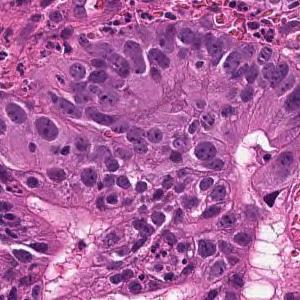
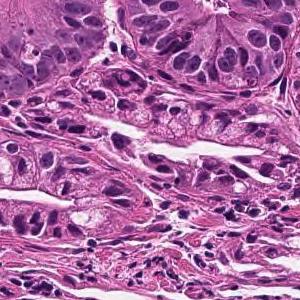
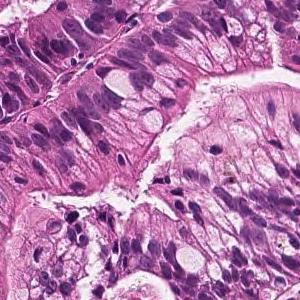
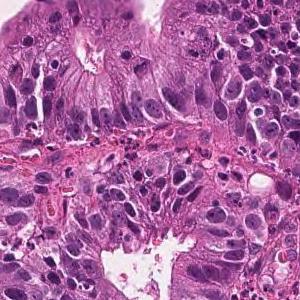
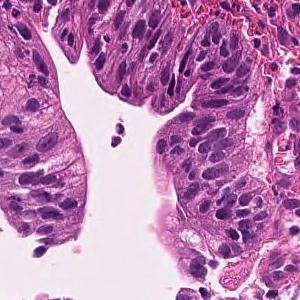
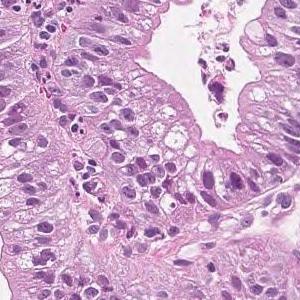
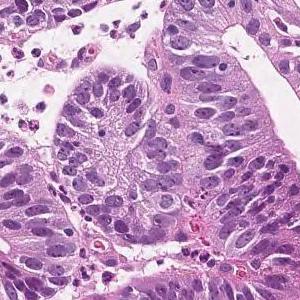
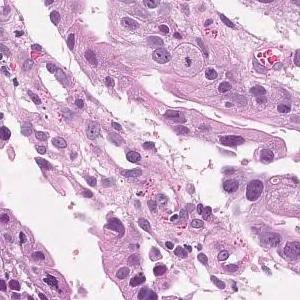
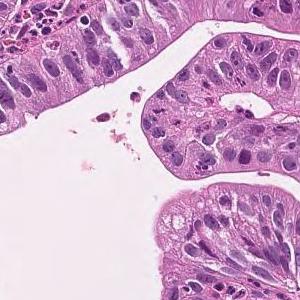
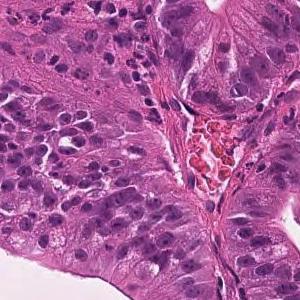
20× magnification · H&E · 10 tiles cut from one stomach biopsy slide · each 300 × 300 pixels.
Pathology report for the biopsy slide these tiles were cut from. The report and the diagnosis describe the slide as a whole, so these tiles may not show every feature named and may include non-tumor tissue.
Tumor cells are large, highly columnar, large club-shaped nuclei, and are associated with chromatin aggregation. Papillary adenocarcinoma.
